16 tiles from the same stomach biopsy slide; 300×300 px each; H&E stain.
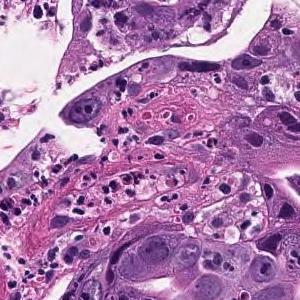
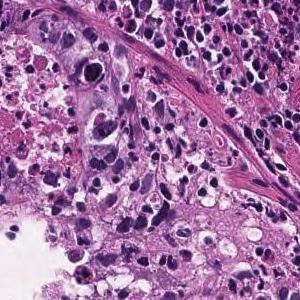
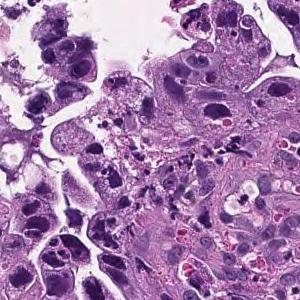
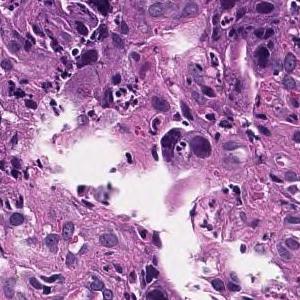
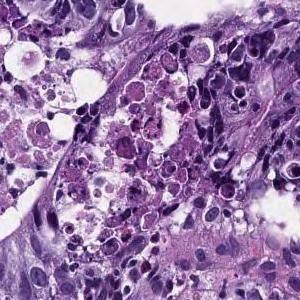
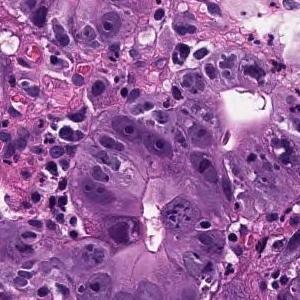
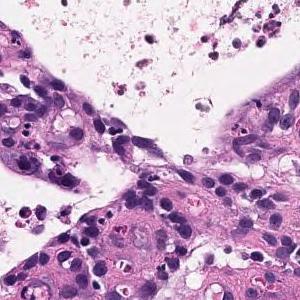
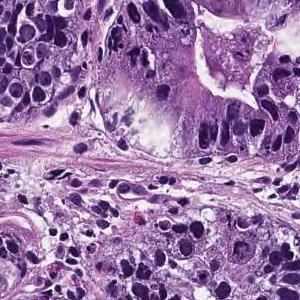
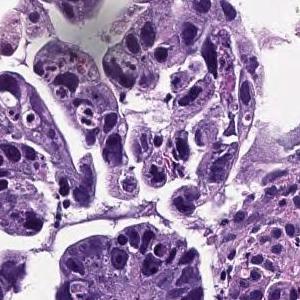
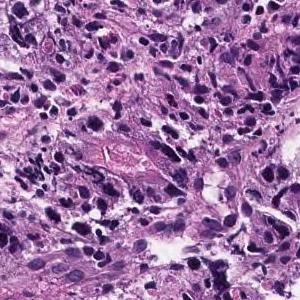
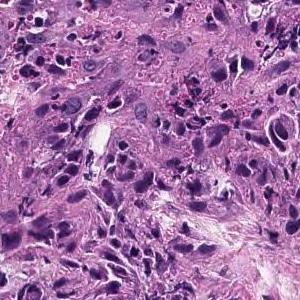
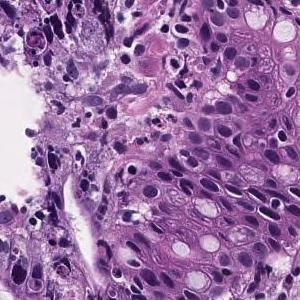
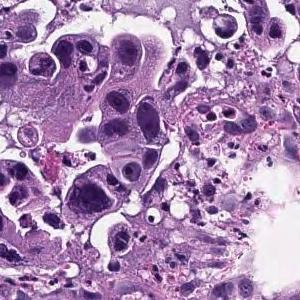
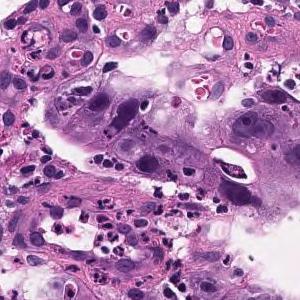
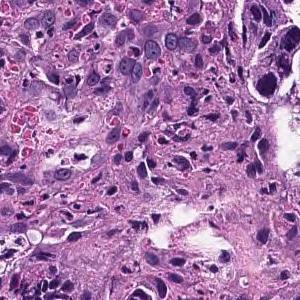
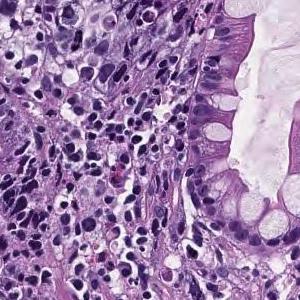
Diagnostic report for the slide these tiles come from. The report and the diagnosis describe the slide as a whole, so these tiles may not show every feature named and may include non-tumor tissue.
In the superficial epithelium, medium to small irregular gland ducts are formed, and in some cases, the ducts are fused to show solid alveolar lesions and infiltrating tumor tissue is observed. Moderately to poorly differentiated adenocarcinoma
